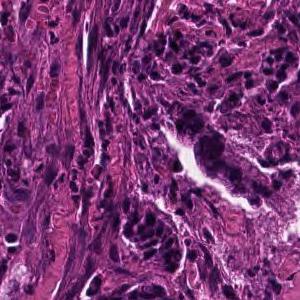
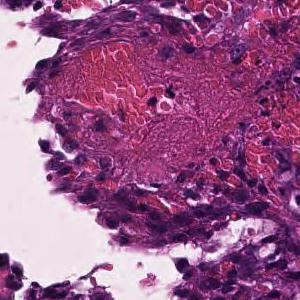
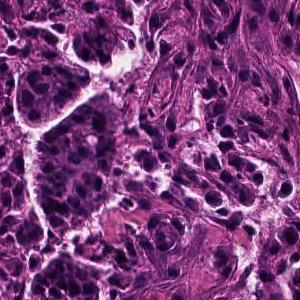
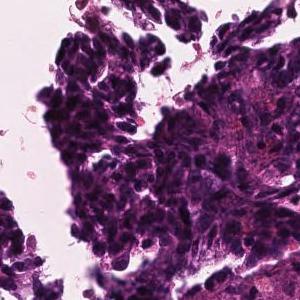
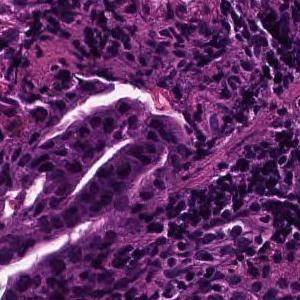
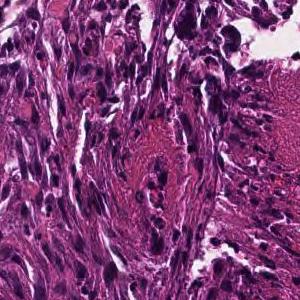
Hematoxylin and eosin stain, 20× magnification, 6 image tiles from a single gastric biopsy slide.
Pathology report for the biopsy slide these tiles were cut from. The report describes the whole slide, diagnosis included: not every finding it names need appear in these tiles, which may also show non-tumor tissue.
Tumor tissue consisting of medium-sized, cord-like or irregular glandular infiltration is observed in the superficial epithelium. Poorly differentiated adenocarcinoma, non-solid type or moderately differentiated tubular adenocarcinoma
Subtype: Moderately to poorly differentiated adenocarcinoma.
The term "non-solid type" comes from the Japanese Classification of Gastric Carcinoma.
